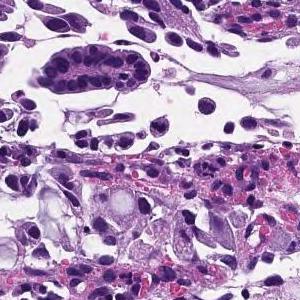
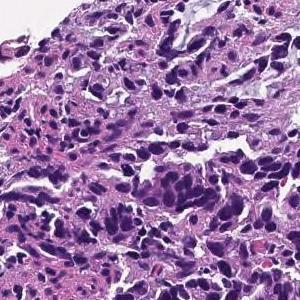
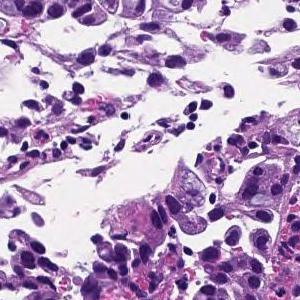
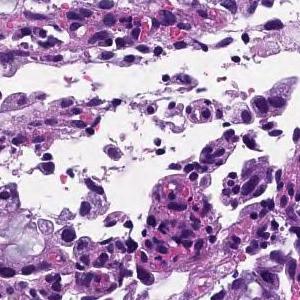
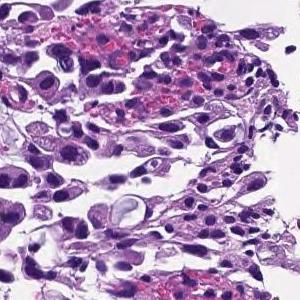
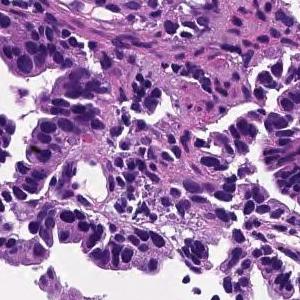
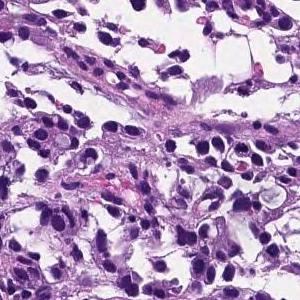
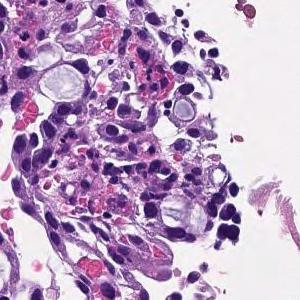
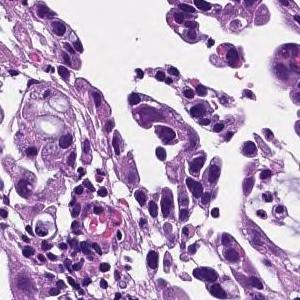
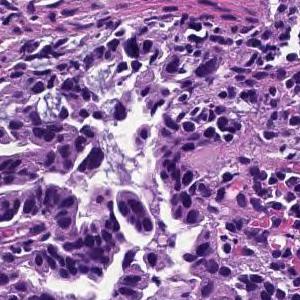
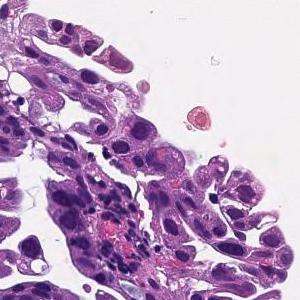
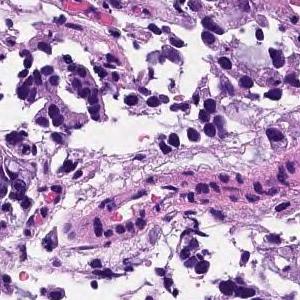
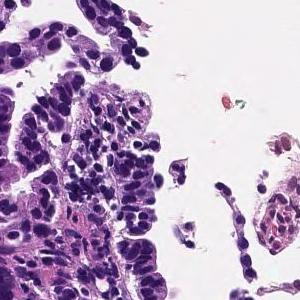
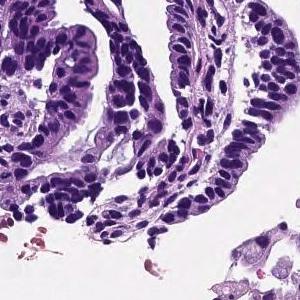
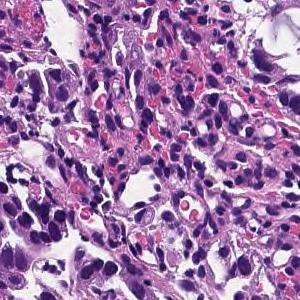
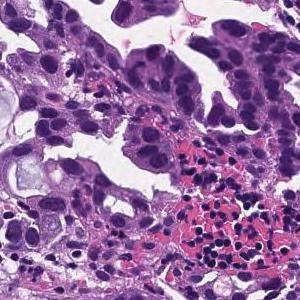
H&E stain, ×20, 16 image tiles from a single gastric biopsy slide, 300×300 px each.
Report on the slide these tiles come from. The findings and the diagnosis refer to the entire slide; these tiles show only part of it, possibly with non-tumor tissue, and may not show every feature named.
Tumor tissue consisting of medium-sized, cord-like or irregular glandular infiltration is observed in the superficial epithelium. Poorly differentiated adenocarcinoma, non-solid type or moderately differentiated tubular adenocarcinoma
Classified as moderately to poorly differentiated adenocarcinoma.
"Non-solid type" is a category of the Japanese Classification of Gastric Carcinoma.
